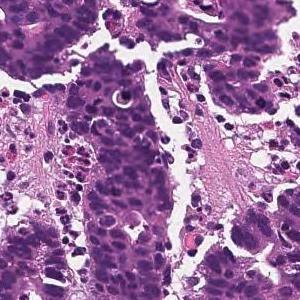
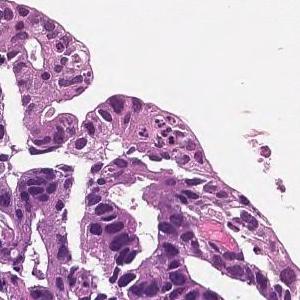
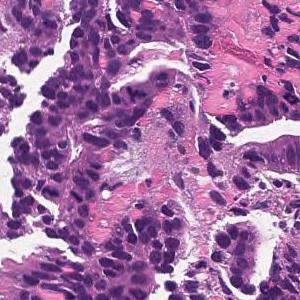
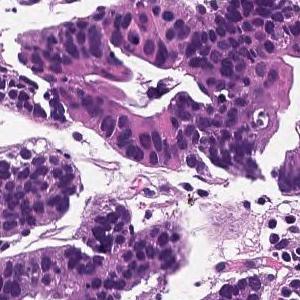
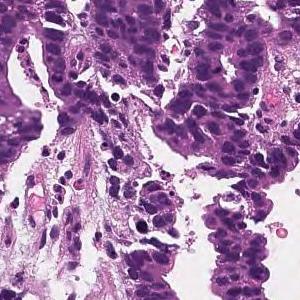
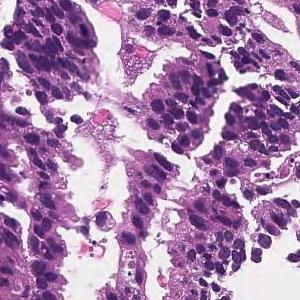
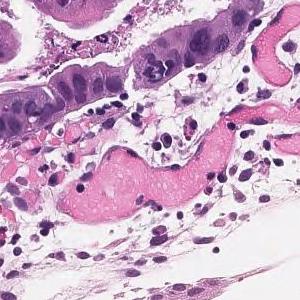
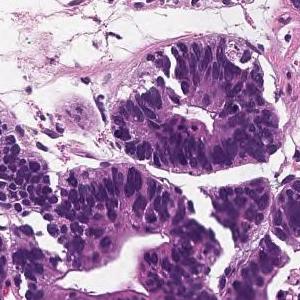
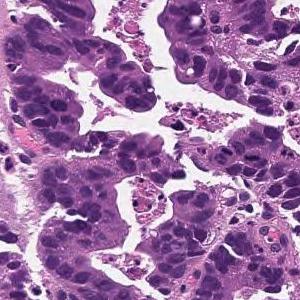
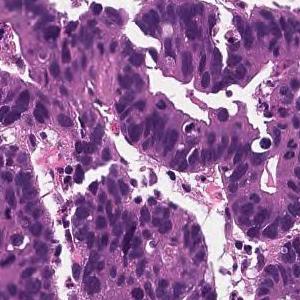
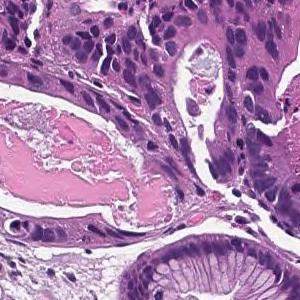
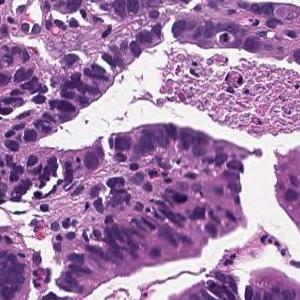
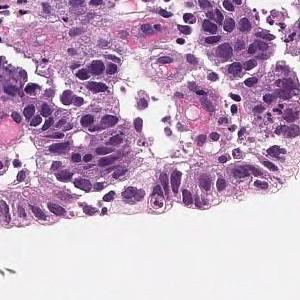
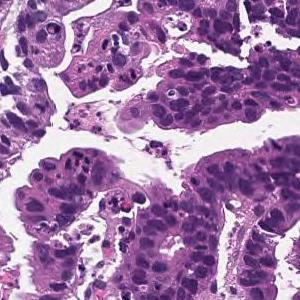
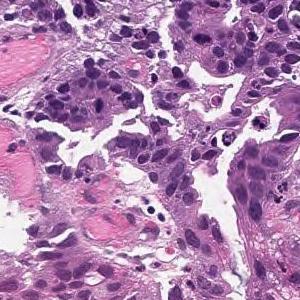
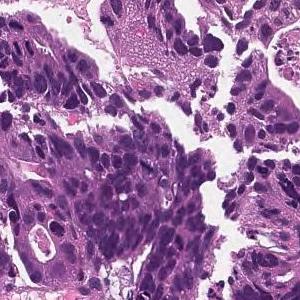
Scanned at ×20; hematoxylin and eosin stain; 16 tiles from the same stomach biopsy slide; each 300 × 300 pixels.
Report on the slide these tiles come from. What the report and the diagnosis say applies to the whole slide; these tiles may miss some of the features named and may include tissue that is not tumor.
In the superficial epithelium, tumor tissue that invades by forming medium-sized to small, irregular ducts is observed. moderately differentiated tubular adenocarcinoma.
